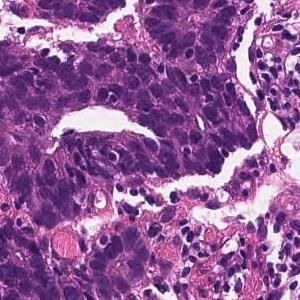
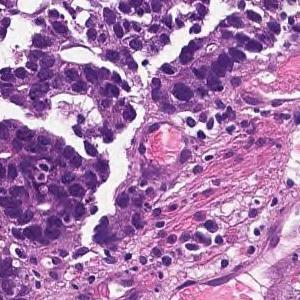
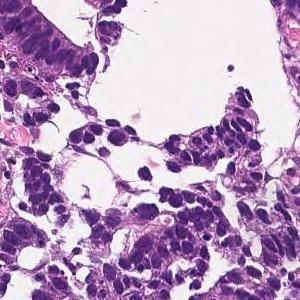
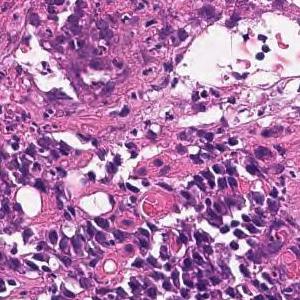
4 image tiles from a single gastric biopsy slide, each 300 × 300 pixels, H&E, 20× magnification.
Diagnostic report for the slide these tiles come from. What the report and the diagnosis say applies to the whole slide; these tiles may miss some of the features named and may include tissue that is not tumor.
In the superficial epithelium, tumor tissue that invades by forming medium-sized to small, irregular ducts is observed. Moderately differentiated adenocarcinoma (moderately differentiated tubular adenocarcinoma).
Histologic type: Moderately differentiated tubular adenocarcinoma.
